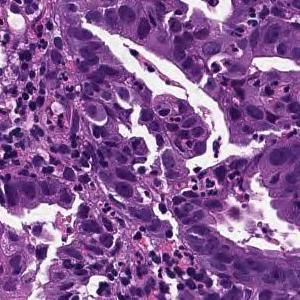
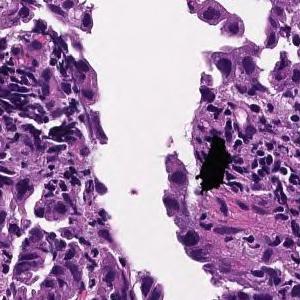
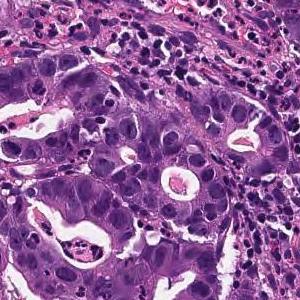
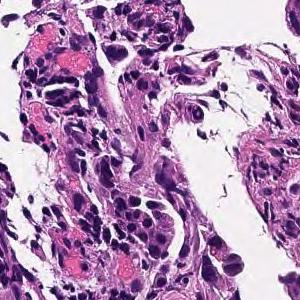
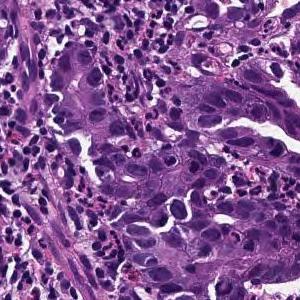
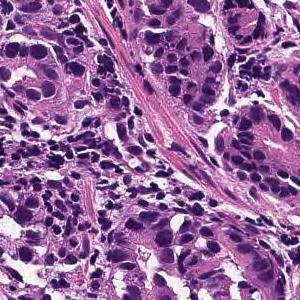
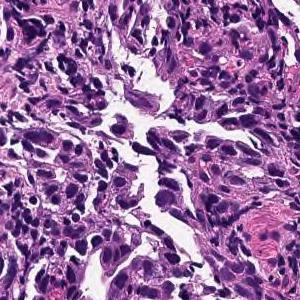
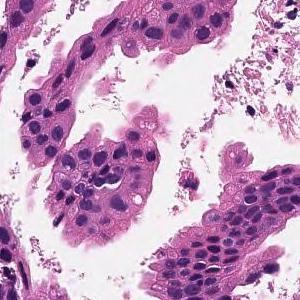
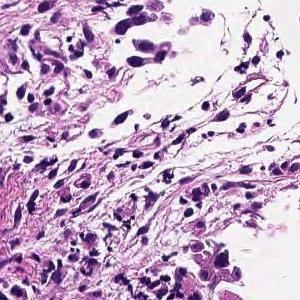
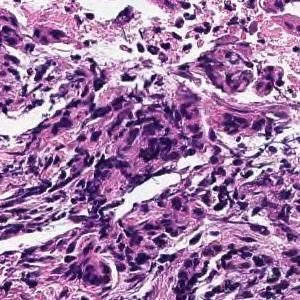
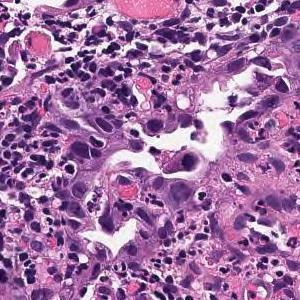
11 patches cut from one gastric biopsy slide · each 300 × 300 pixels.
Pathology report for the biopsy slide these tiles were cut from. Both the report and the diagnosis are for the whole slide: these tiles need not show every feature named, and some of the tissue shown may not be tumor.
In the superficial epithelium, tumor tissue that invades by forming medium-sized to small, irregular ducts is observed. moderately differentiated tubular adenocarcinoma.
